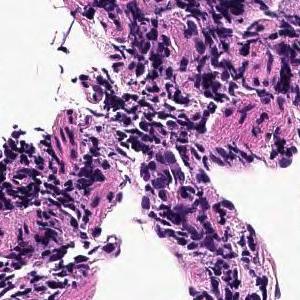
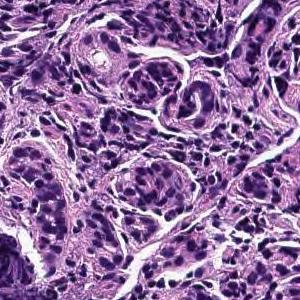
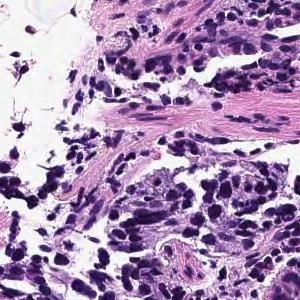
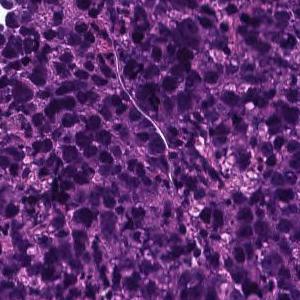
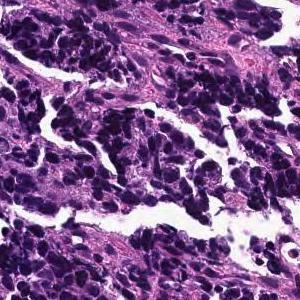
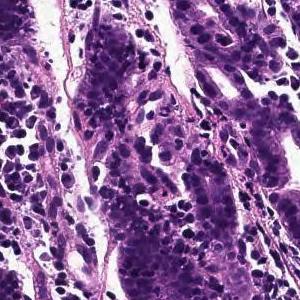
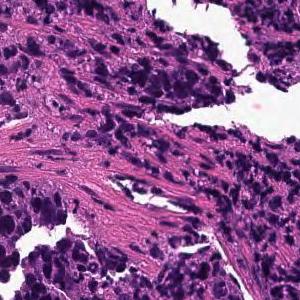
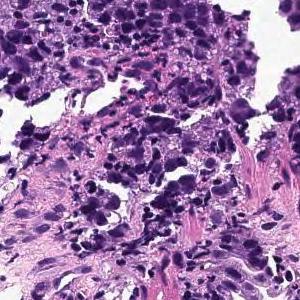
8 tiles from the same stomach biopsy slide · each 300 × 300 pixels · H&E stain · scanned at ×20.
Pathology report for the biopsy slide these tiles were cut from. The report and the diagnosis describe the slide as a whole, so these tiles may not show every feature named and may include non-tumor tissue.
The superficial epithelium shows large alveolar or sheet-like forms, and some tumor tissue infiltrates with small irregular ducts. Poorly differentiated adenocarcinoma, solid-type
Classified as poorly differentiated adenocarcinoma, solid type, a category of the Japanese Classification of Gastric Carcinoma; in the WHO 2019 classification it is tubular adenocarcinoma, poorly differentiated.
